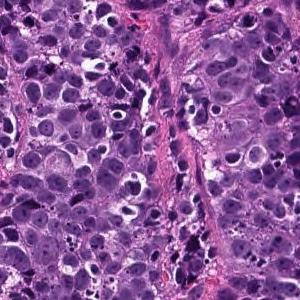
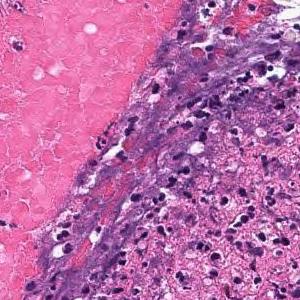
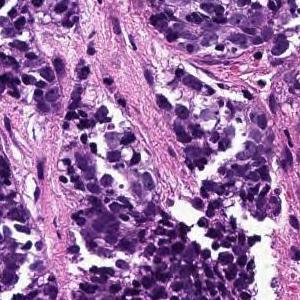
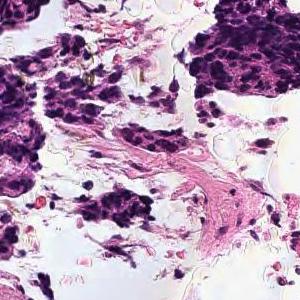
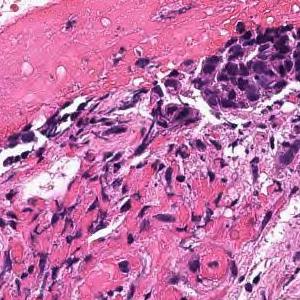
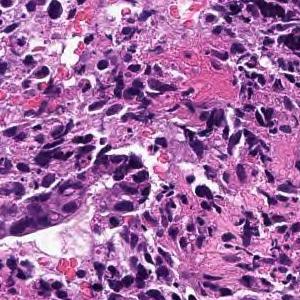
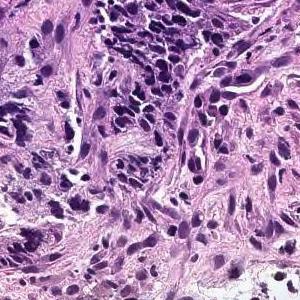
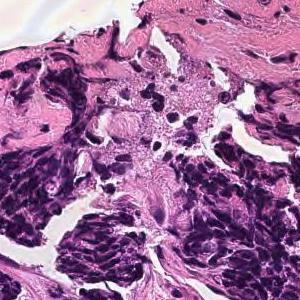
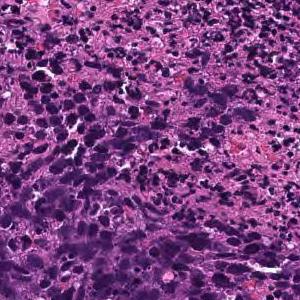
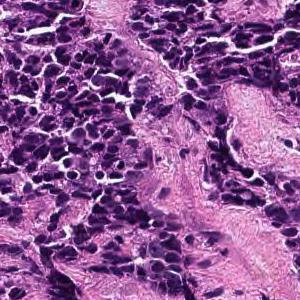
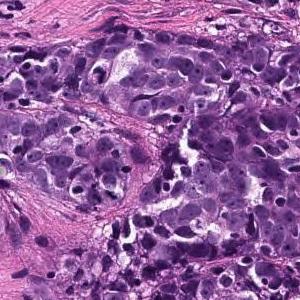
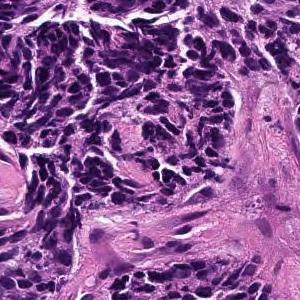
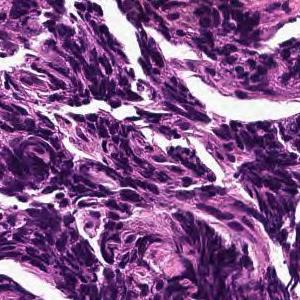
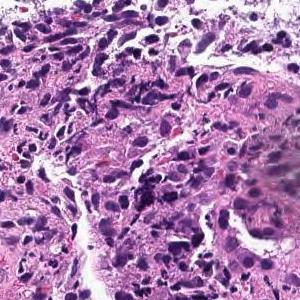
20× magnification, H&E stain, 14 image tiles from a single gastric biopsy slide.
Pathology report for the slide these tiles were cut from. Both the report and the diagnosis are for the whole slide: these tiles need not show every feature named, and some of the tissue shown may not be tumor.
The superficial epithelium shows a large sheet or alveolar shape, and tumor tissue infiltrating without irregular ducts is observed. Poorly differentiated adenocarcinoma, solid-type
Subtype: Poorly differentiated adenocarcinoma, solid type, a category of the Japanese Classification of Gastric Carcinoma; in the WHO 2019 classification it is tubular adenocarcinoma, poorly differentiated.
